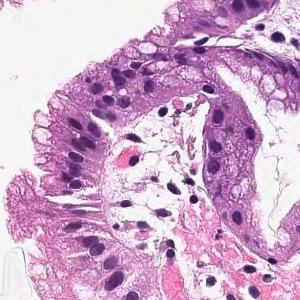
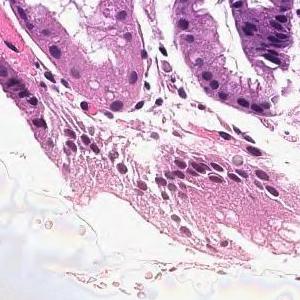
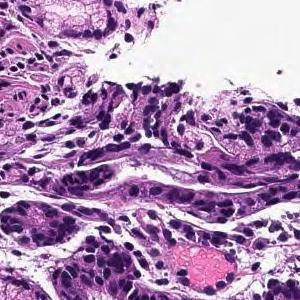
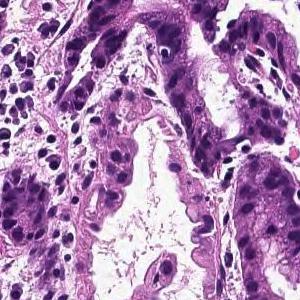
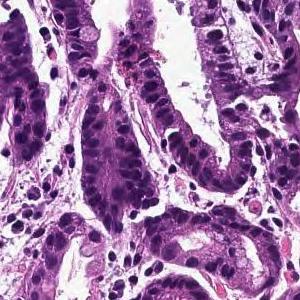
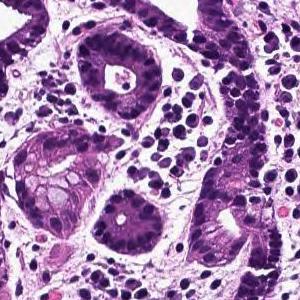
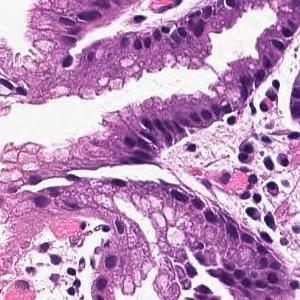
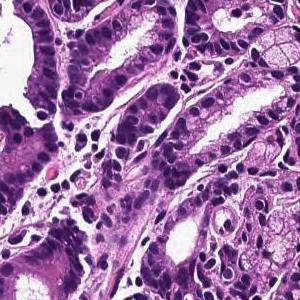
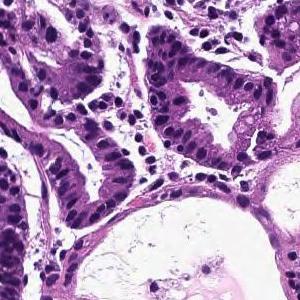
H&E stain · ×20 · 9 image tiles from a single gastric biopsy slide · each 300 × 300 pixels.
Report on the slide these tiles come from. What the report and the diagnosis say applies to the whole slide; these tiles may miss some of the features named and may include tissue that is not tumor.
In the superficial epithelium, tumor tissue that invades by forming medium-sized to small, irregular ducts is observed. moderately differentiated tubular adenocarcinoma.
